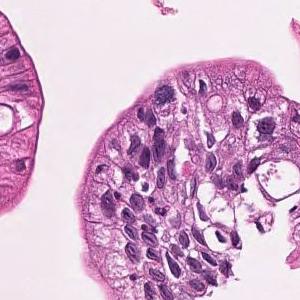
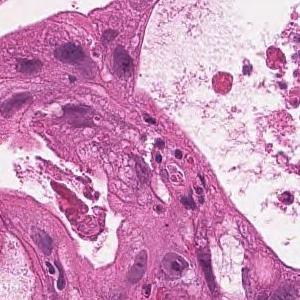
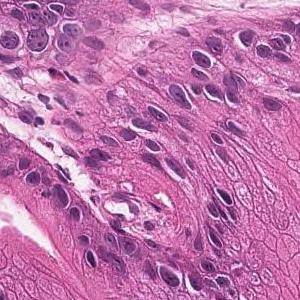
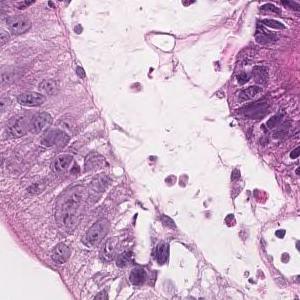
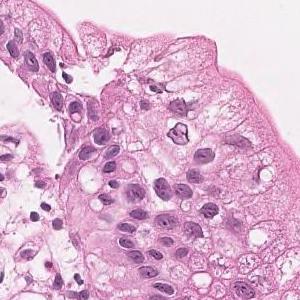
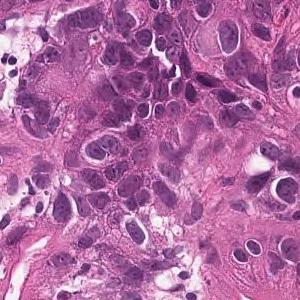
6 tiles from the same stomach biopsy slide · hematoxylin and eosin stain · scanned at ×20.
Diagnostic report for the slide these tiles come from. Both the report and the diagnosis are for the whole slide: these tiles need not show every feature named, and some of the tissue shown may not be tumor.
On the superficial epithelium, tumor tissue that infiltrates by forming medium-sized papillary or small irregular ducts is observed. Papillary adenocarcinoma
